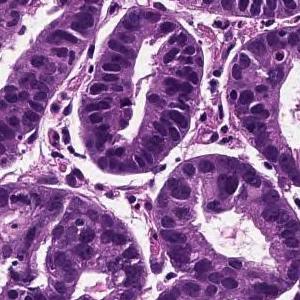
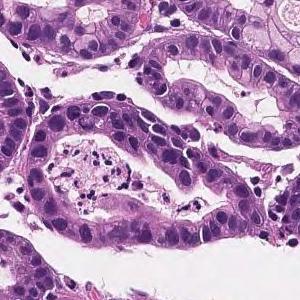
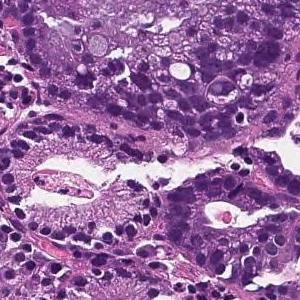
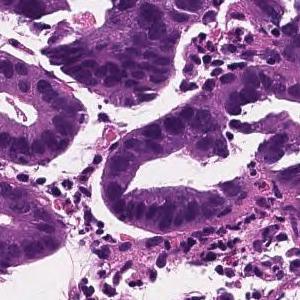
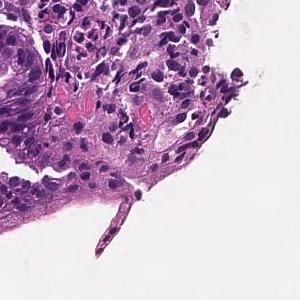
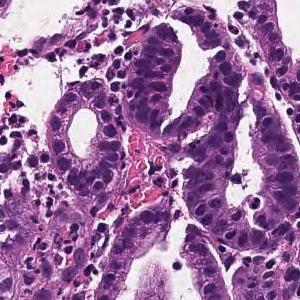
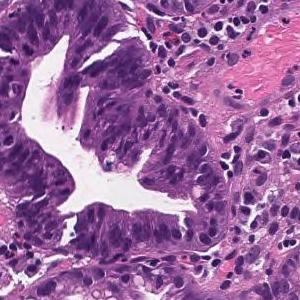
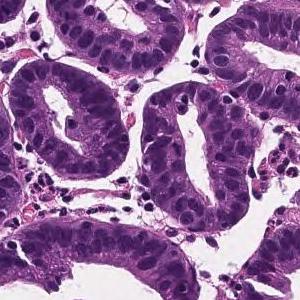
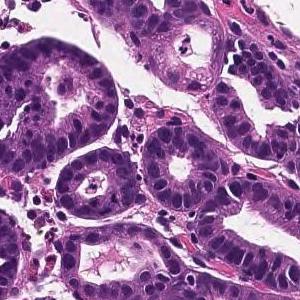
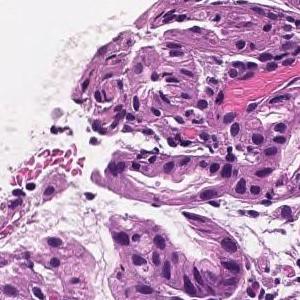
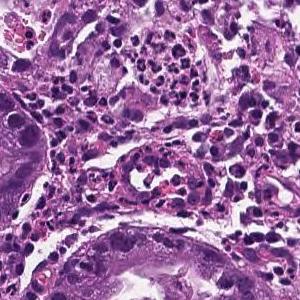
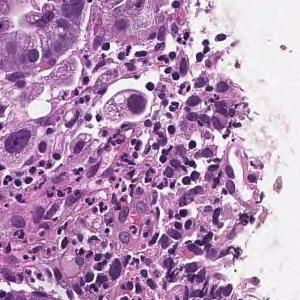
Hematoxylin and eosin stain, scanned at ×20, 12 tiles from the same stomach biopsy slide, 300×300 px each.
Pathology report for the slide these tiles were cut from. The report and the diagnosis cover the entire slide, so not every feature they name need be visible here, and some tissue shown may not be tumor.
On the superficial epithelium, tumor tissue consisting of medium-sized irregular or small round gland ducts showing a small cord-like shape and infiltrating is observed. Well differentiated tubular adenocarcinoma or Poorly differentiated adenocarcinoma, non-solid type
The dataset labels this slide well differentiated tubular adenocarcinoma.
The non-solid type named here is a Japanese Classification of Gastric Carcinoma category.
